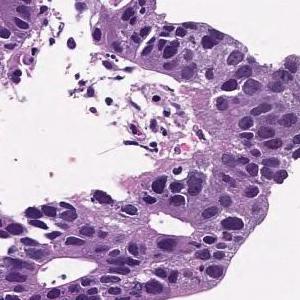
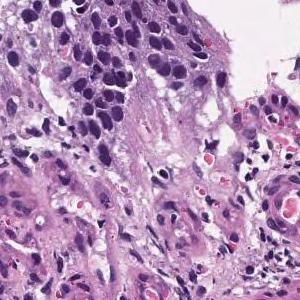
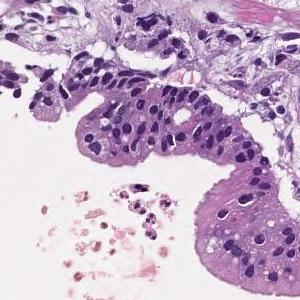
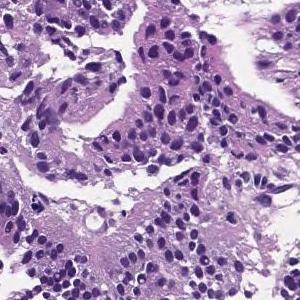
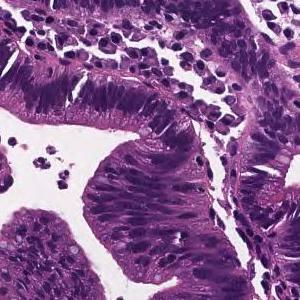
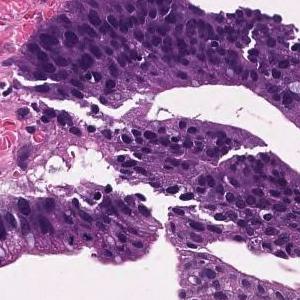
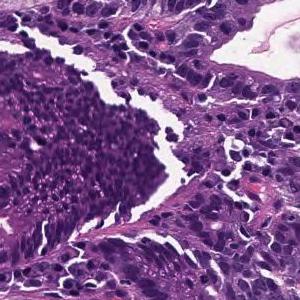
7 image tiles from a single gastric biopsy slide · each 300 × 300 pixels · scanned at ×20 · H&E stain.
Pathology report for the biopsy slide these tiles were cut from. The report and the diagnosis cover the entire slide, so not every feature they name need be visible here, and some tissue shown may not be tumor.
Tumor cells are large, highly columnar, large club-shaped nuclei, and are associated with chromatin aggregation. Papillary adenocarcinoma.
